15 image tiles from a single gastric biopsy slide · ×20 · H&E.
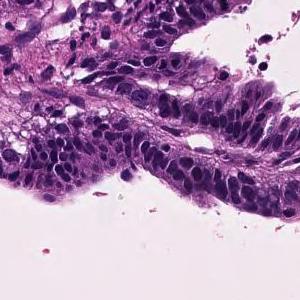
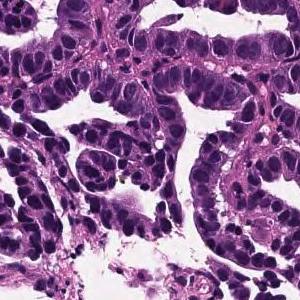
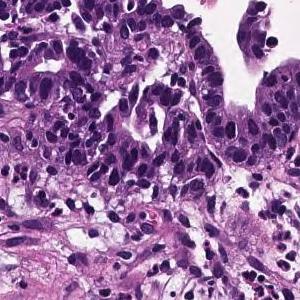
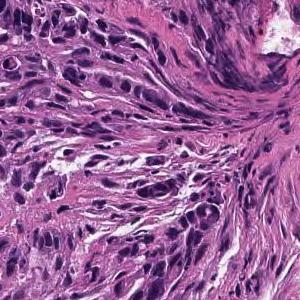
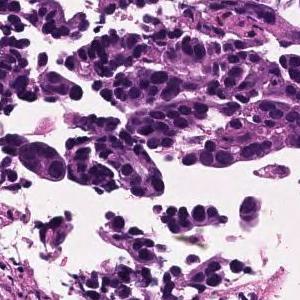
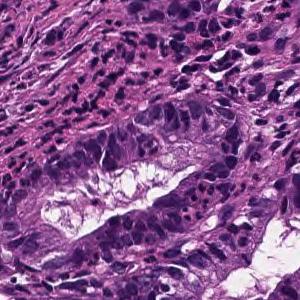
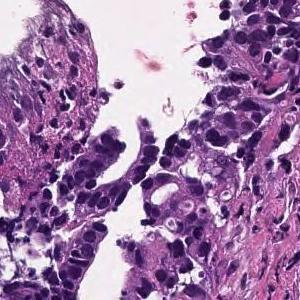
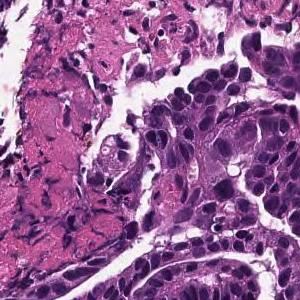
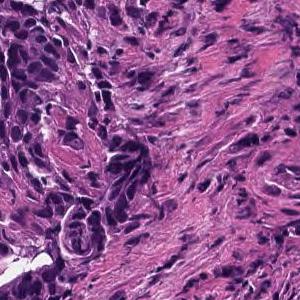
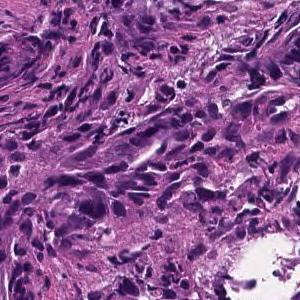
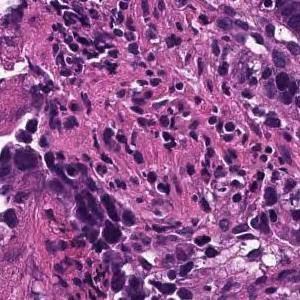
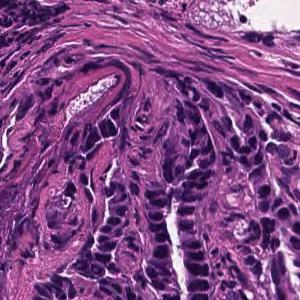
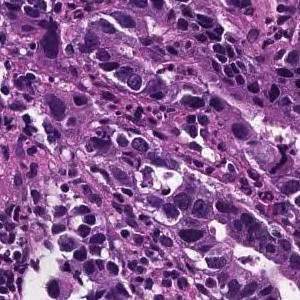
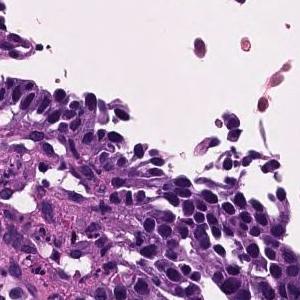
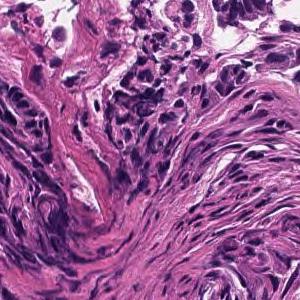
Diagnostic report for the slide these tiles come from. The report describes the whole slide, diagnosis included: not every finding it names need appear in these tiles, which may also show non-tumor tissue.
Tumor cells are large, highly columnar, large club-shaped nuclei, and are associated with chromatin aggregation. Papillary adenocarcinoma.
